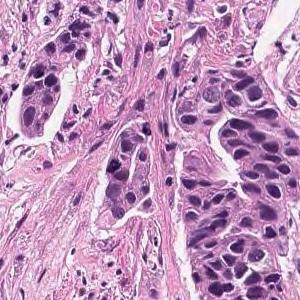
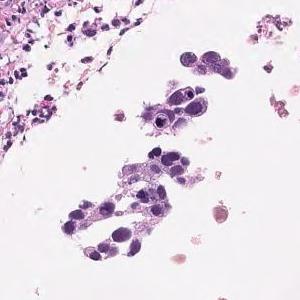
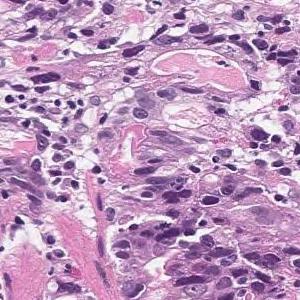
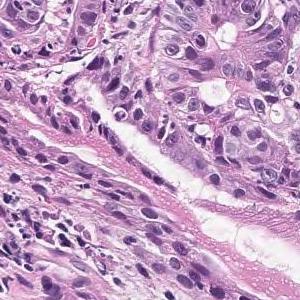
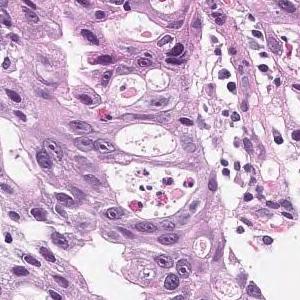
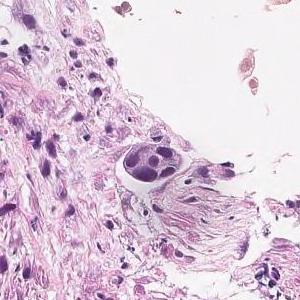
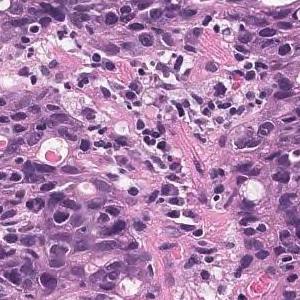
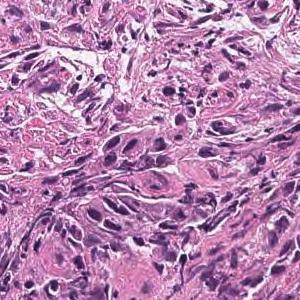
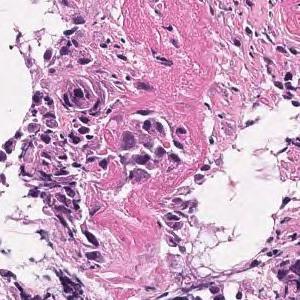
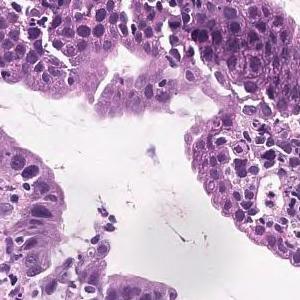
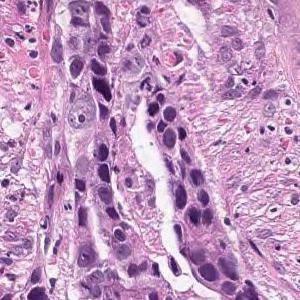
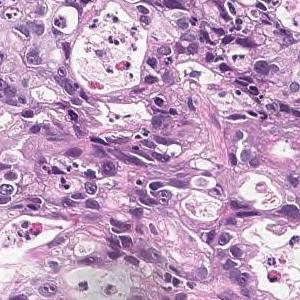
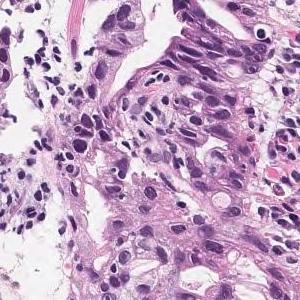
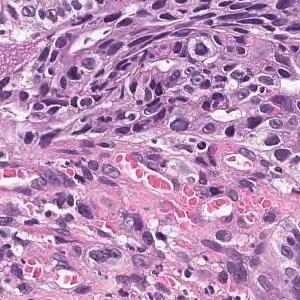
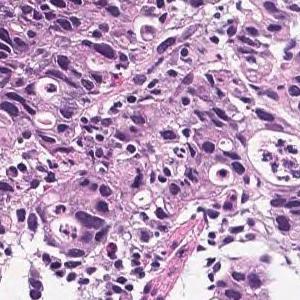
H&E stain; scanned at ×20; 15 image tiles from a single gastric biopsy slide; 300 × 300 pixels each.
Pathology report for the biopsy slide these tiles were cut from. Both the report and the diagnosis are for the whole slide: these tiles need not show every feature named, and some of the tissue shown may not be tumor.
Tumor cells are large, highly columnar, large club-shaped nuclei, and are associated with chromatin aggregation. Papillary adenocarcinoma.
